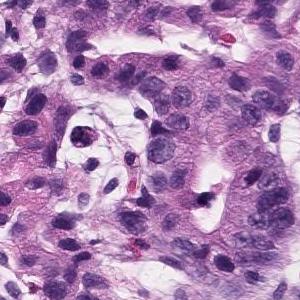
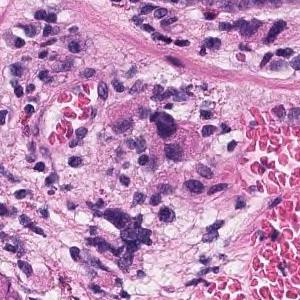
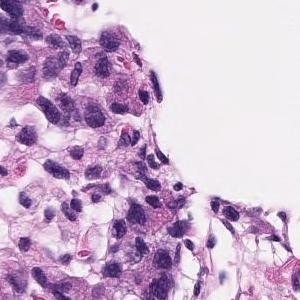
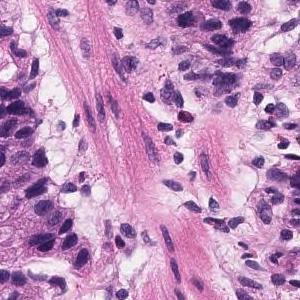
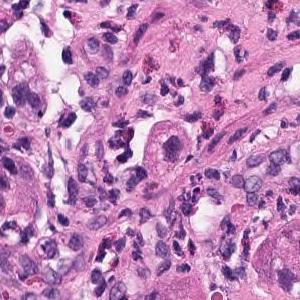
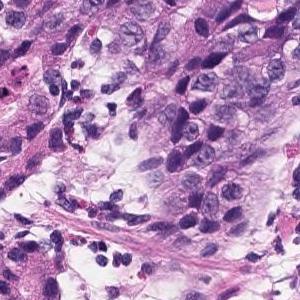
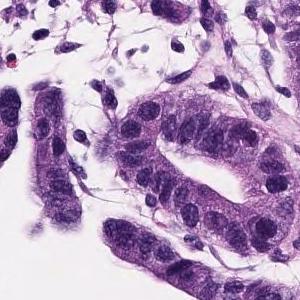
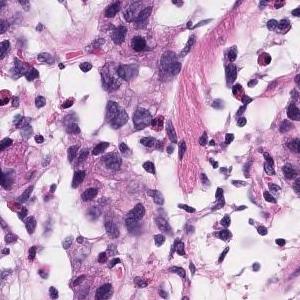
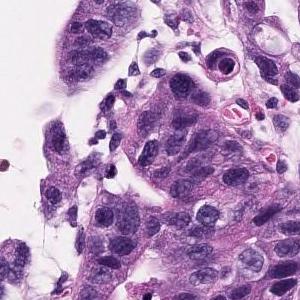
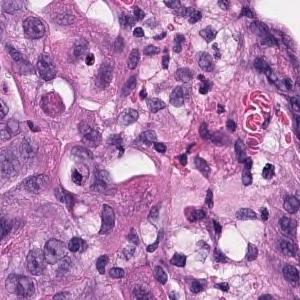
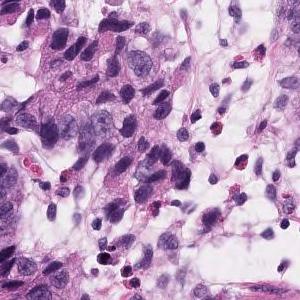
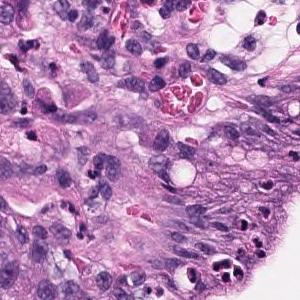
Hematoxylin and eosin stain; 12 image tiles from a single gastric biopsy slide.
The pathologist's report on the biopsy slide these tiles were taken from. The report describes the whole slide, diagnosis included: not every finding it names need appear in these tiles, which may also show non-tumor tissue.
Atypical l cells with atypical nuclei forming diffuse or small irregular atypical ducts and growing. Moderately to poorly differentiated adenocarcinoma (poorly differentiated adenocarcinoma, solid type, moderately differentiated tubular adenocarcinoma)
Tumor subtype: moderately to poorly differentiated adenocarcinoma.
The term "solid type" comes from the Japanese Classification of Gastric Carcinoma; the WHO 2019 equivalent is tubular adenocarcinoma, poorly differentiated.
